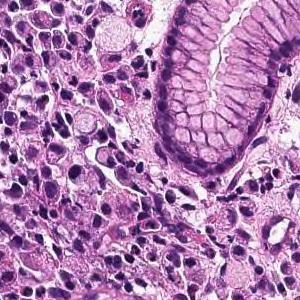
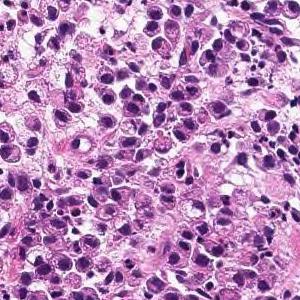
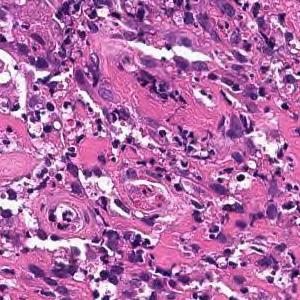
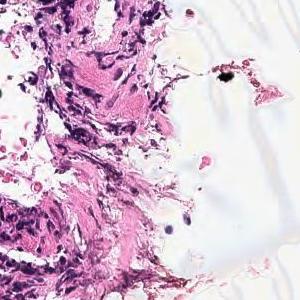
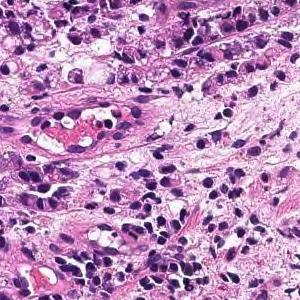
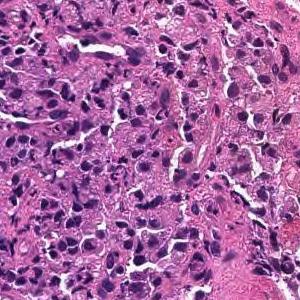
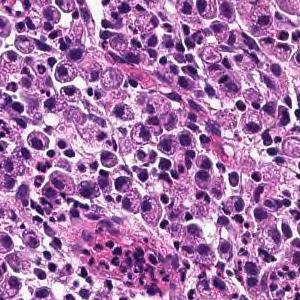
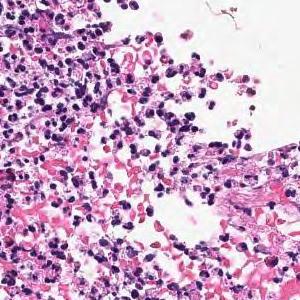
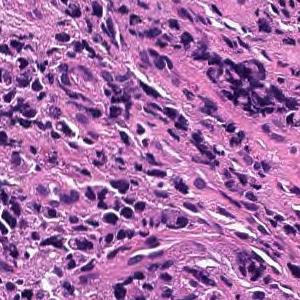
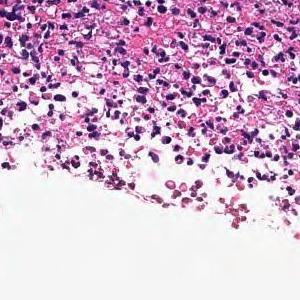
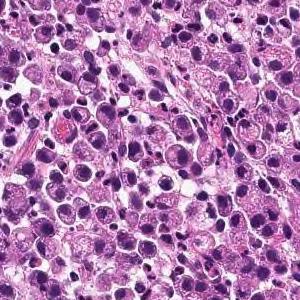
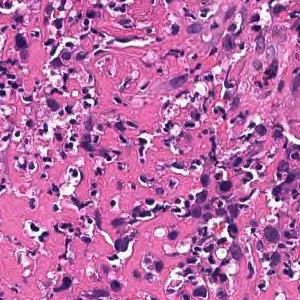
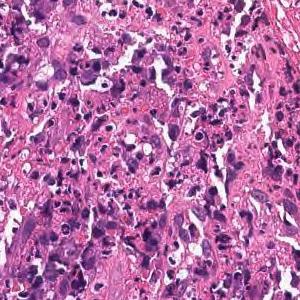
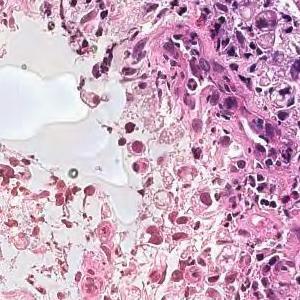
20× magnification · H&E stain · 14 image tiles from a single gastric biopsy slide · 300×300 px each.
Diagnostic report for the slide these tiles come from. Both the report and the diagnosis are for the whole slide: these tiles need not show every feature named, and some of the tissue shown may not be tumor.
Tumor tissue consisting of diffusely infiltrated large atypical epithelial cells or signet ring atypical cells is observed in the superficial epithelium. Poorly differentiated adenocarcinoma, solid-type
Histological subtype: Poorly differentiated adenocarcinoma, solid type (Japanese Classification of Gastric Carcinoma). The WHO 2019 equivalent is tubular adenocarcinoma, poorly differentiated.
